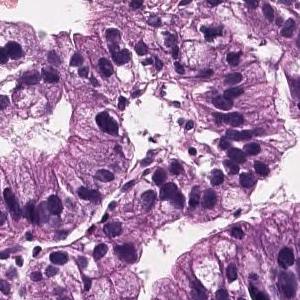
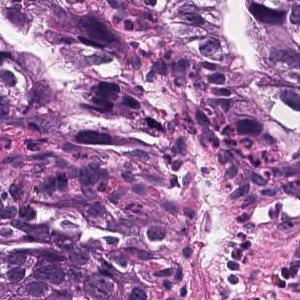
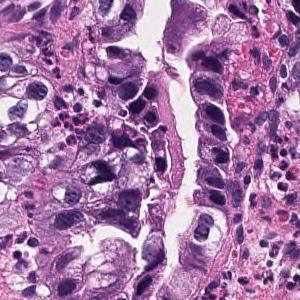
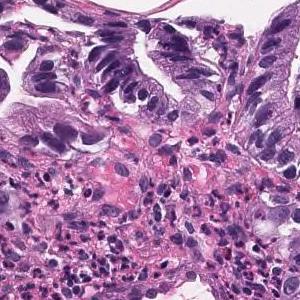
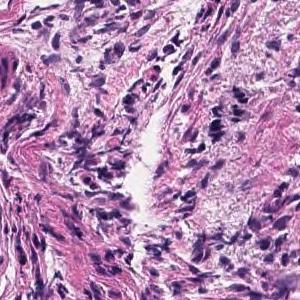
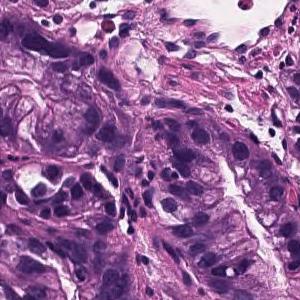
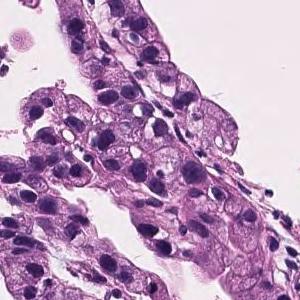
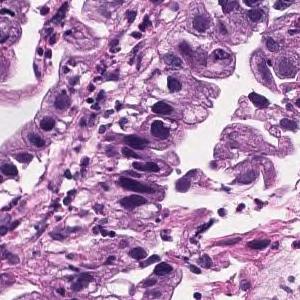
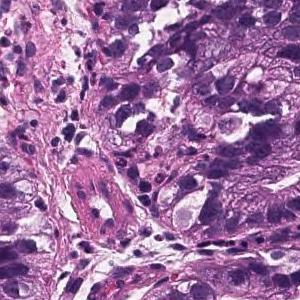
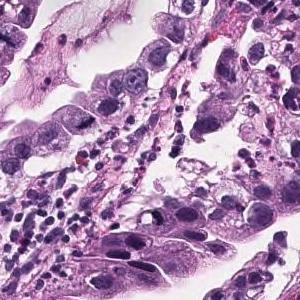
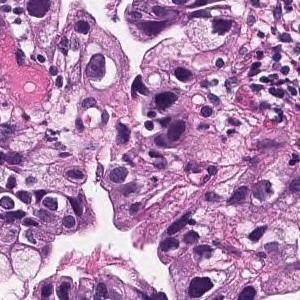
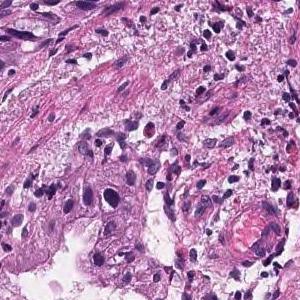
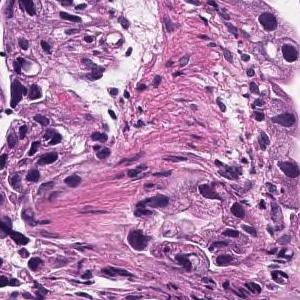
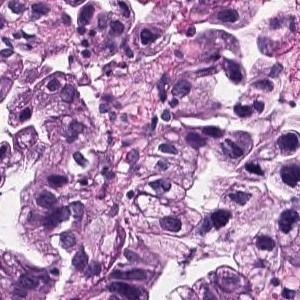
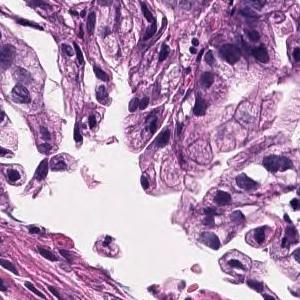
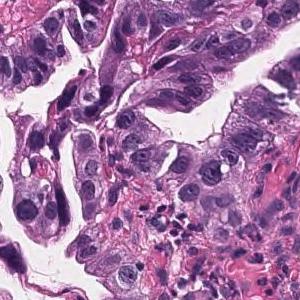
Hematoxylin and eosin stain, scanned at ×20, 16 tiles cut from one stomach biopsy slide, each 300 × 300 pixels.
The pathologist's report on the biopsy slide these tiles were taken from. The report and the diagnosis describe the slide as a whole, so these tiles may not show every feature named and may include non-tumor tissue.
Tumor cells are large, highly columnar, large club-shaped nuclei, and are associated with chromatin aggregation. Papillary adenocarcinoma.
